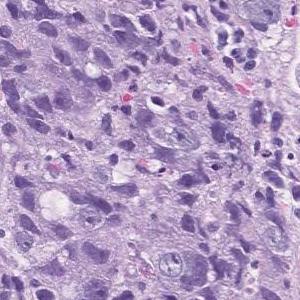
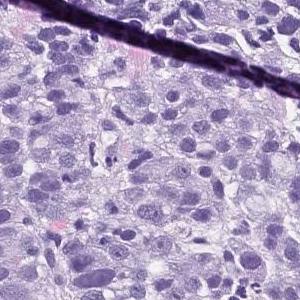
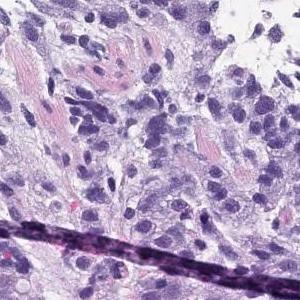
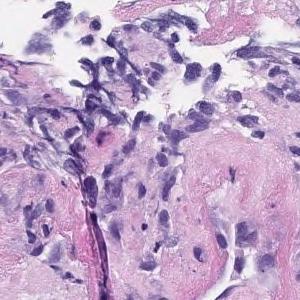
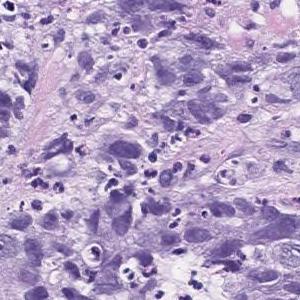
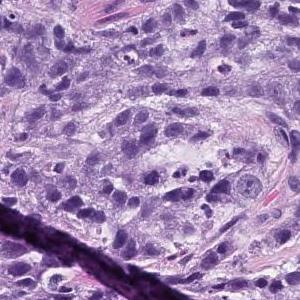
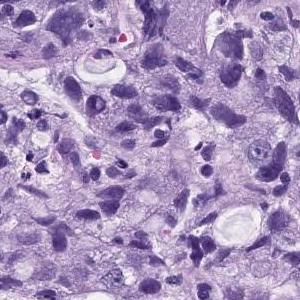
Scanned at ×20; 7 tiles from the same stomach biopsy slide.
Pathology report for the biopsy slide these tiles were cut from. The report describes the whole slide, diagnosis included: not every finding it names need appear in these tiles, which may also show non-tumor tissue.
Atypical l cells with atypical nuclei forming solid vesicles or small irregular atypical ducts that proliferate in a complex manner. poorly differentiated adenocarcinoma, solid type, moderately differentiated tubular adenocarcinoma
The term "solid type" comes from the Japanese Classification of Gastric Carcinoma; the WHO 2019 equivalent is tubular adenocarcinoma, poorly differentiated.
